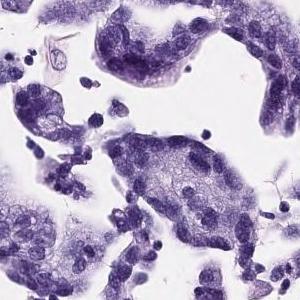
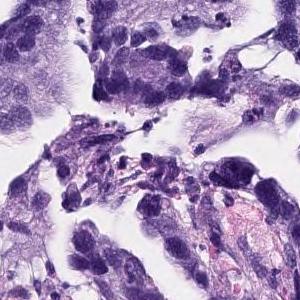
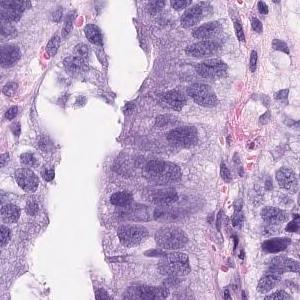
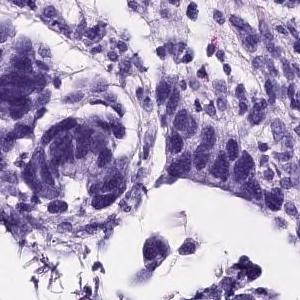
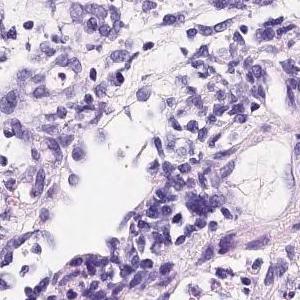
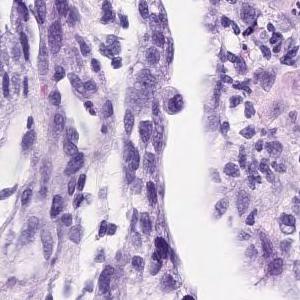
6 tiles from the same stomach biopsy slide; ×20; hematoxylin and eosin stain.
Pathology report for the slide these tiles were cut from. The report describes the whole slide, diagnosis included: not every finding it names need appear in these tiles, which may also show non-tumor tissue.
On the superficial epithelium, tumor tissue consisting of medium to small irregular tubules partially fused and proliferated is observed. moderately differentiated tubular adenocarcinoma
